14 image tiles from a single gastric biopsy slide, 300 × 300 pixels each, H&E stain.
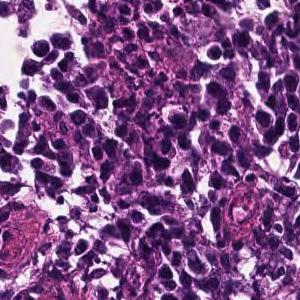
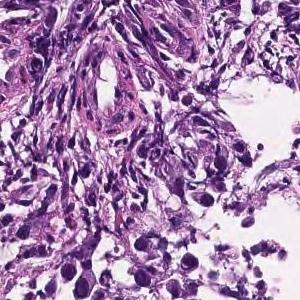
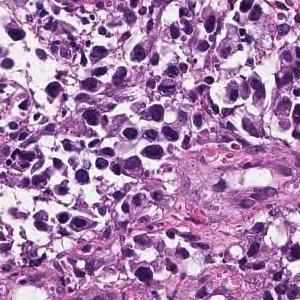
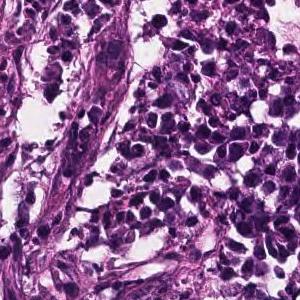
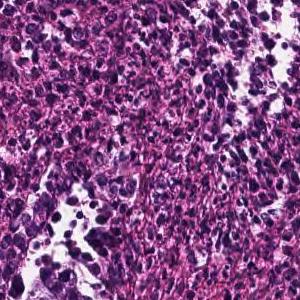
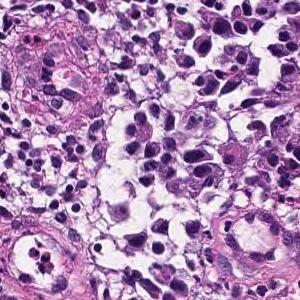
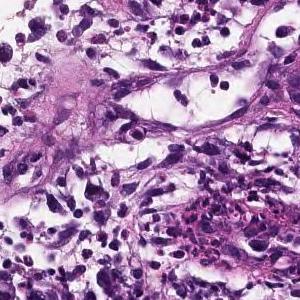
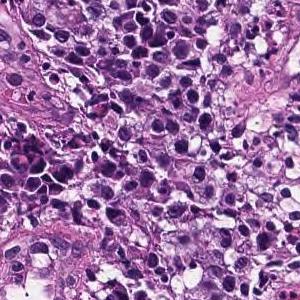
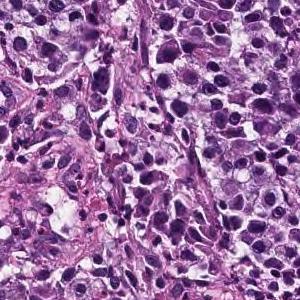
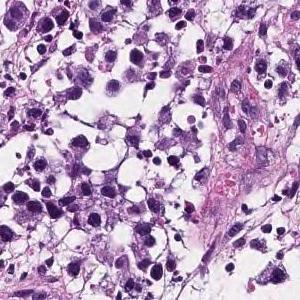
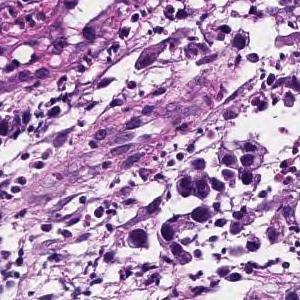
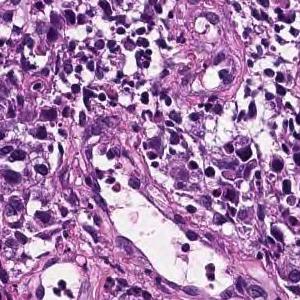
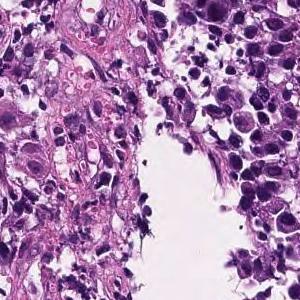
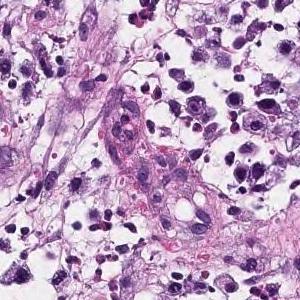
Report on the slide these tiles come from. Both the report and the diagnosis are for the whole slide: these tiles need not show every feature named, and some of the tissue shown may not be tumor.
The superficial epithelium shows a small alveolar shape, and some tumor tissues infiltrate with a cord-like structure. Poorly differentiated adenocarcinoma, solid-type
Classified as poorly differentiated adenocarcinoma, solid type, a category of the Japanese Classification of Gastric Carcinoma; in the WHO 2019 classification it is tubular adenocarcinoma, poorly differentiated.
